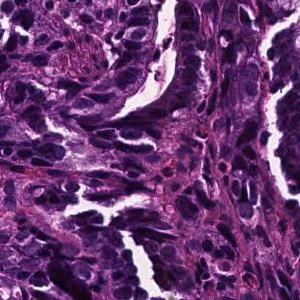
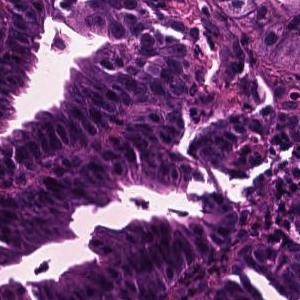
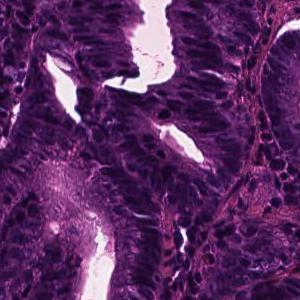
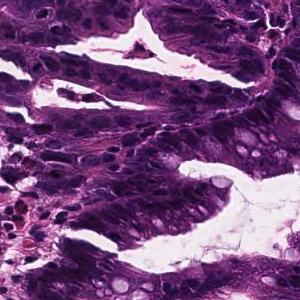
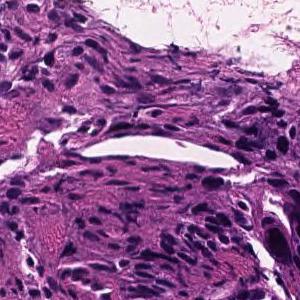
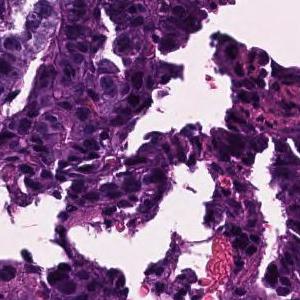
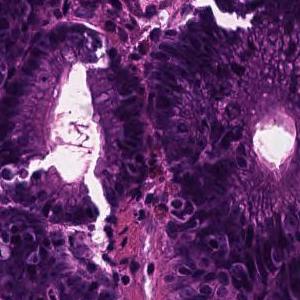
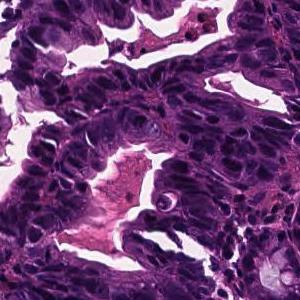
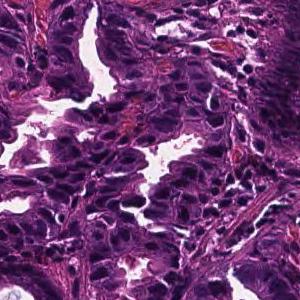
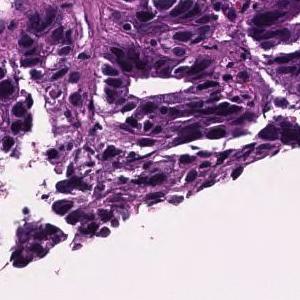
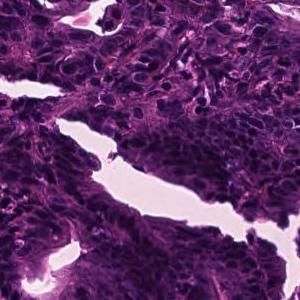
20× magnification, H&E stain, 11 patches cut from one gastric biopsy slide.
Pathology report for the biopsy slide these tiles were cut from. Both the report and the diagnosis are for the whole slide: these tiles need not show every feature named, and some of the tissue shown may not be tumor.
In the superficial epithelium, tumor tissue that invades by forming medium-sized to small, irregular ducts is observed. moderately differentiated tubular adenocarcinoma.
